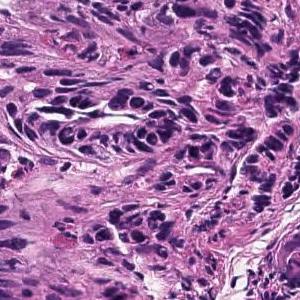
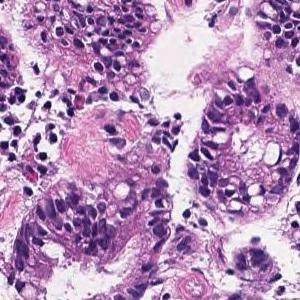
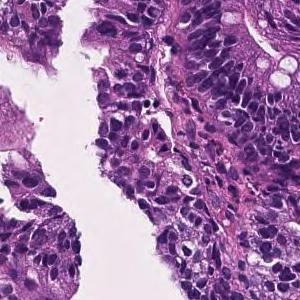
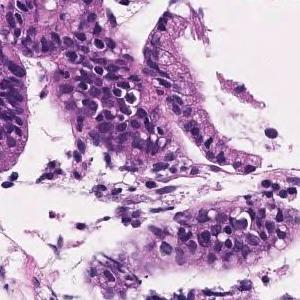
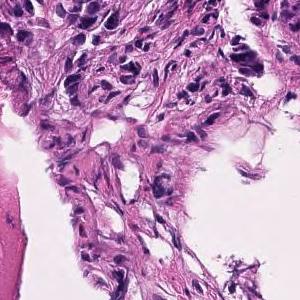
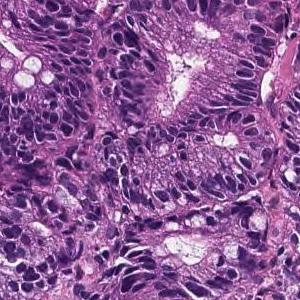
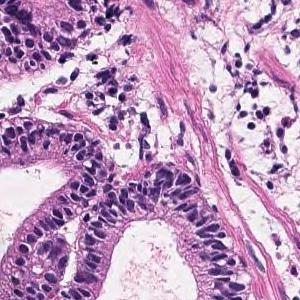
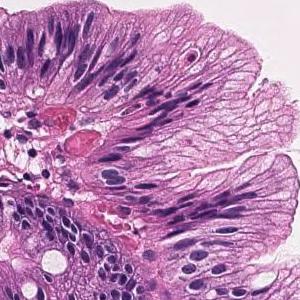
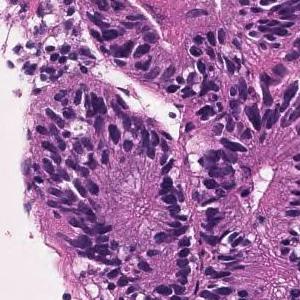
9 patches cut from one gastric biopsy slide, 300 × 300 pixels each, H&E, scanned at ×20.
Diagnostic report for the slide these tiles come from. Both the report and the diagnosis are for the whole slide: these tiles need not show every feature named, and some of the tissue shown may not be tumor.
Most remain in the superficial epithelium, forming medium-sized papillary or small irregular ducts and proliferating, and some tumor tissue invades the muscularis mucosae. Papillary adenocarcinoma
